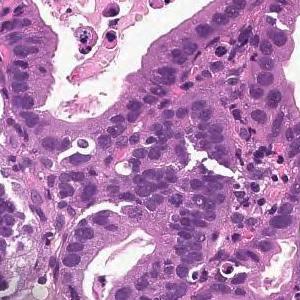
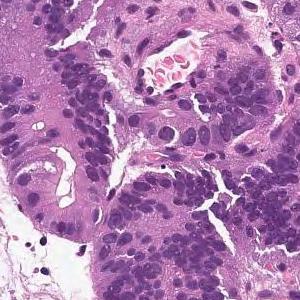
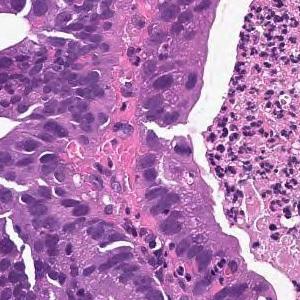
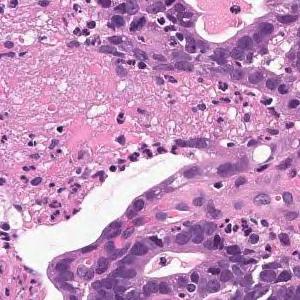
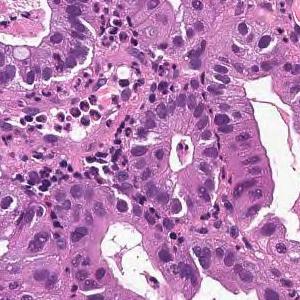
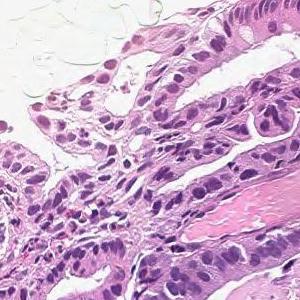
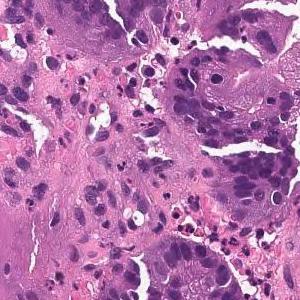
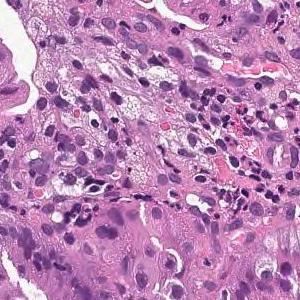
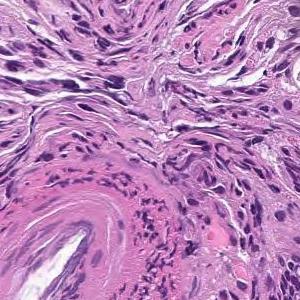
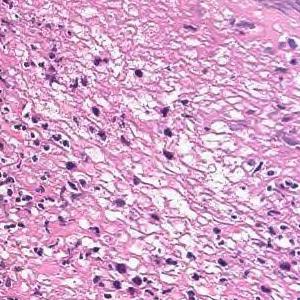
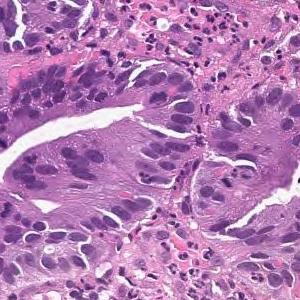
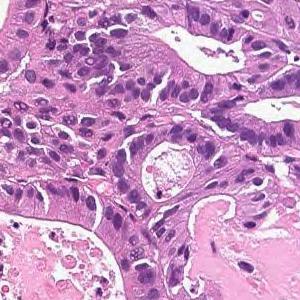
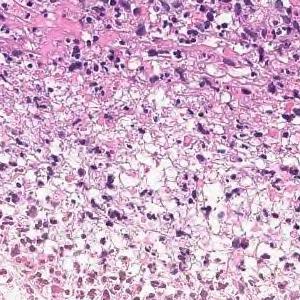
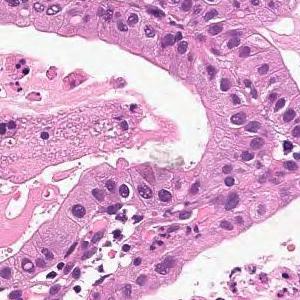
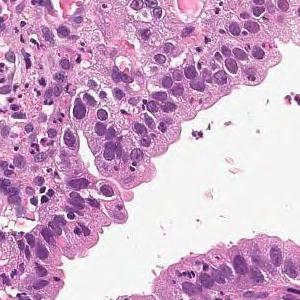
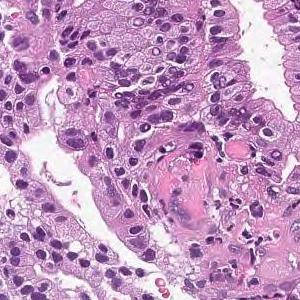
16 tiles cut from one stomach biopsy slide, ×20, H&E.
Pathology report for the slide these tiles were cut from. The findings and the diagnosis refer to the entire slide; these tiles show only part of it, possibly with non-tumor tissue, and may not show every feature named.
From the superficial epithelium to the muscularis mucosae, tumor tissue consisting of medium-sized and irregular glandular ducts infiltrating is observed. Well differentiated tubular adenocarcinoma
